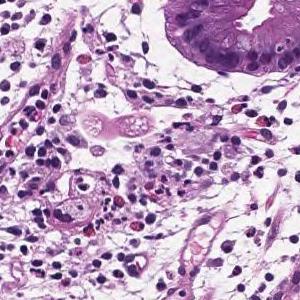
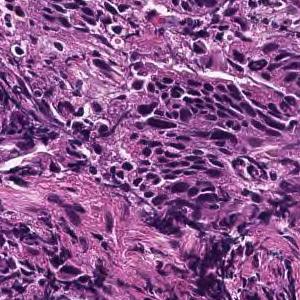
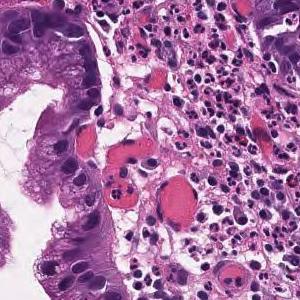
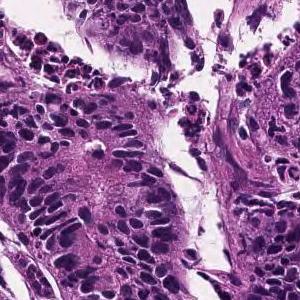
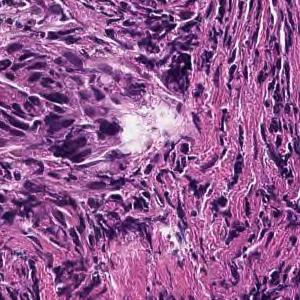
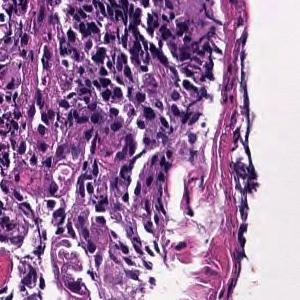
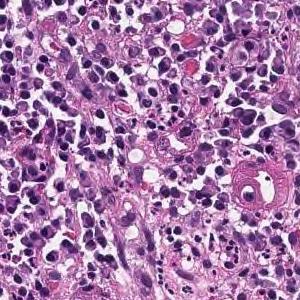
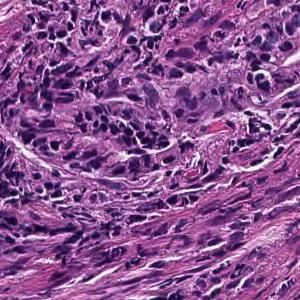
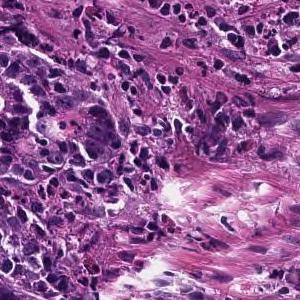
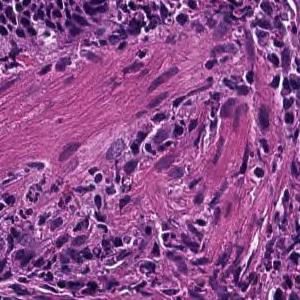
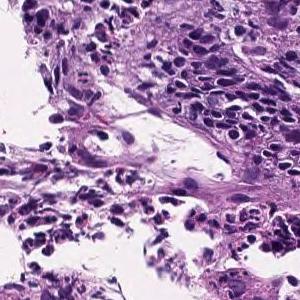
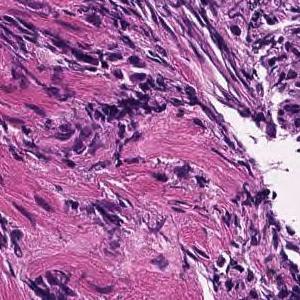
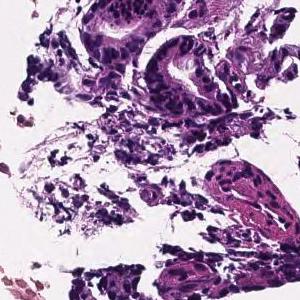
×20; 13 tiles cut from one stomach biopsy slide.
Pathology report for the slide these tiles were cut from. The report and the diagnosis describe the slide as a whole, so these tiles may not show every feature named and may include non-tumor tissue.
On the superficial epithelium, tumor tissue consisting of large, irregular glandular ducts partially fused and infiltrated is observed. Well to moderately differentiated tubular adenocarcinoma (well differentiated tubular adenocarcinoma, moderately differentiated tubular adenocarcinoma)
Tumor subtype: well to moderately differentiated tubular adenocarcinoma.
